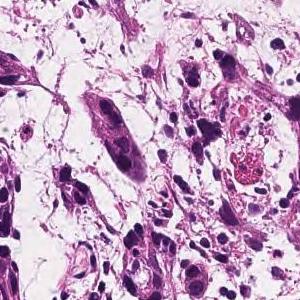
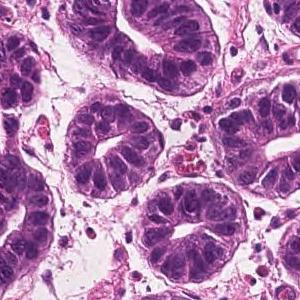
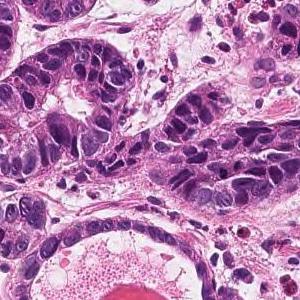
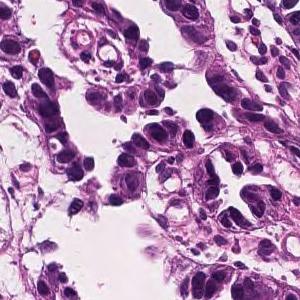
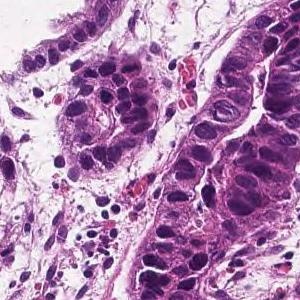
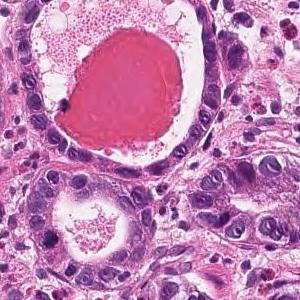
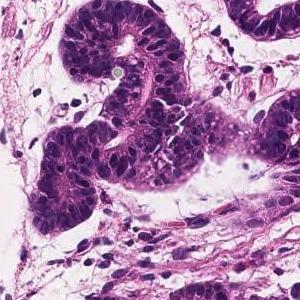
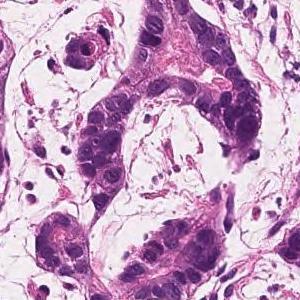
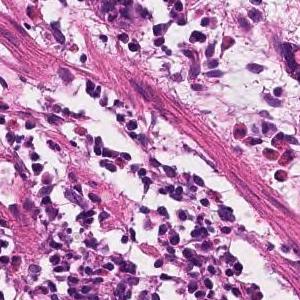
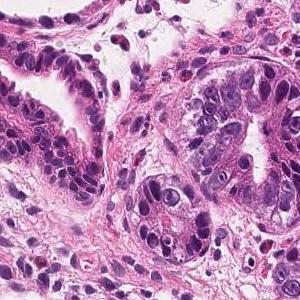
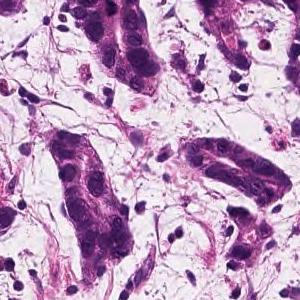
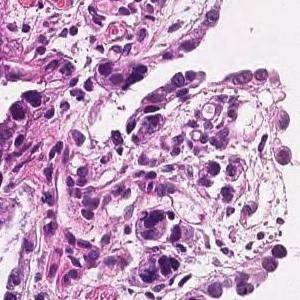
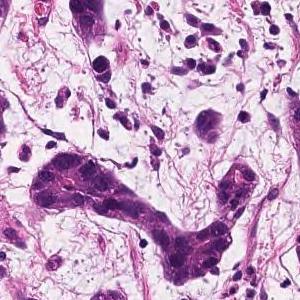
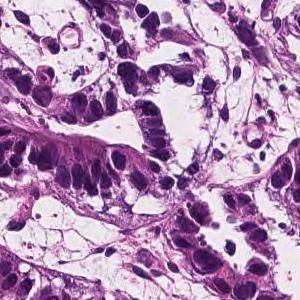
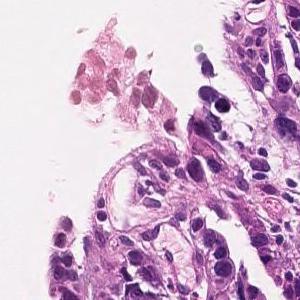
15 patches cut from one gastric biopsy slide · 300 × 300 pixels each · hematoxylin and eosin stain · scanned at ×20.
Report on the slide these tiles come from. What the report and the diagnosis say applies to the whole slide; these tiles may miss some of the features named and may include tissue that is not tumor.
In the superficial epithelium, tumor tissue that invades by forming medium-sized to small, irregular ducts is observed. Well differentiated tubular adenocarcinoma.
